16 tiles from the same stomach biopsy slide · H&E stain · ×20.
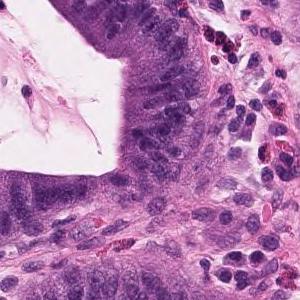
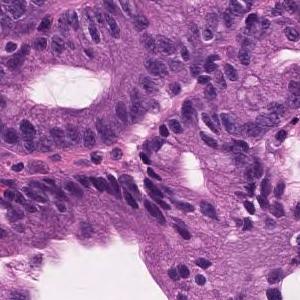
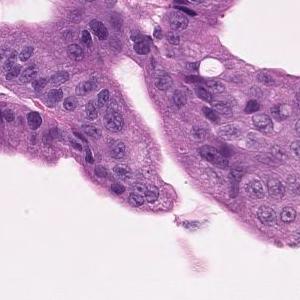
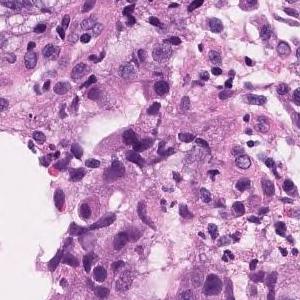
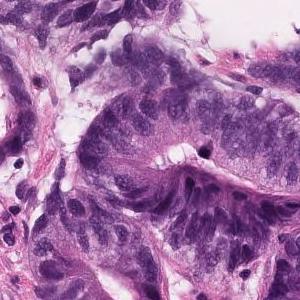
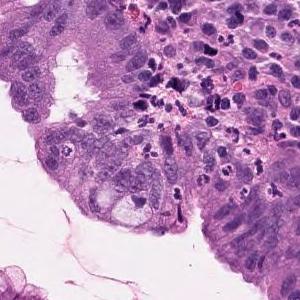
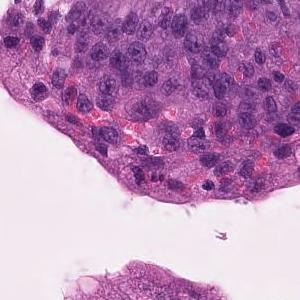
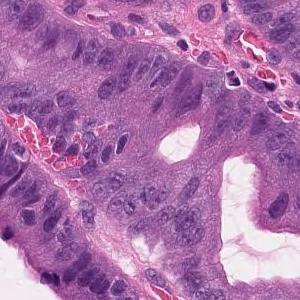
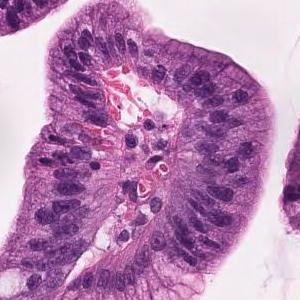
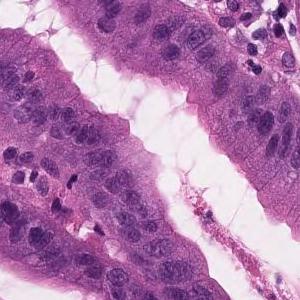
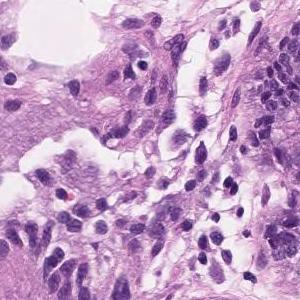
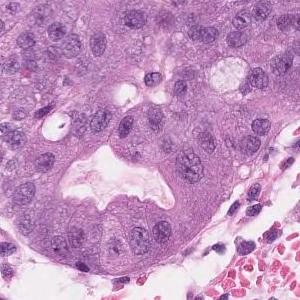
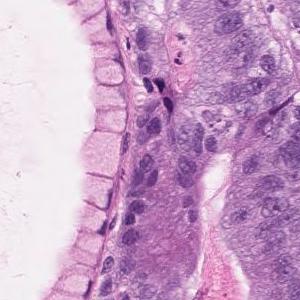
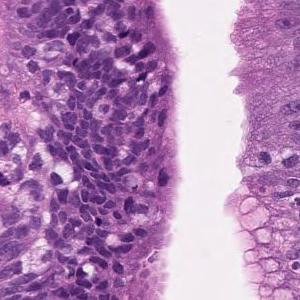
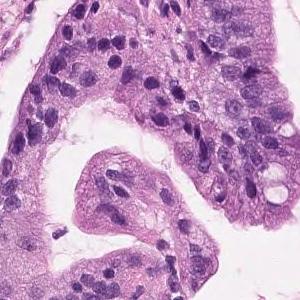
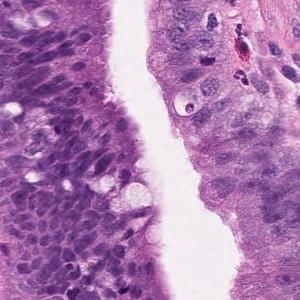
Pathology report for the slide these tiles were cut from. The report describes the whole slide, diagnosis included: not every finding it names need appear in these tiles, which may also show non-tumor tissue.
On the superficial epithelium, tumor tissue consisting of large, irregular glandular ducts partially fused and infiltrated is observed. Well to moderately differentiated tubular adenocarcinoma (well differentiated tubular adenocarcinoma, moderately differentiated tubular adenocarcinoma)
Histological subtype: Well to moderately differentiated tubular adenocarcinoma.
